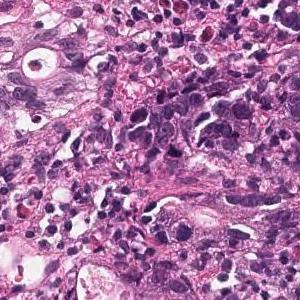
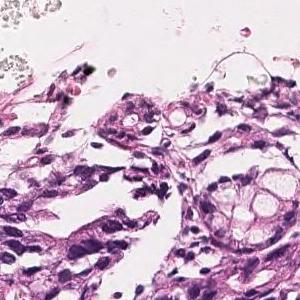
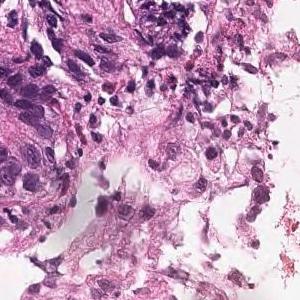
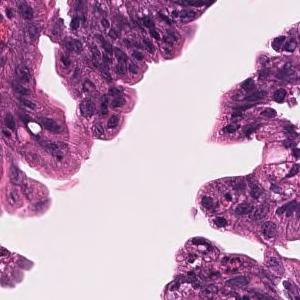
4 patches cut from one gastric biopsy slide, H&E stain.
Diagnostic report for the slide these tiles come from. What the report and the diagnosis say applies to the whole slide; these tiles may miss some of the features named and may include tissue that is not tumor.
On the superficial epithelium, tumor tissue consisting of large, irregular glandular ducts partially fused and infiltrated is observed. Well to moderately differentiated tubular adenocarcinoma (well differentiated tubular adenocarcinoma, moderately differentiated tubular adenocarcinoma)
Histological subtype: Well to moderately differentiated tubular adenocarcinoma.
